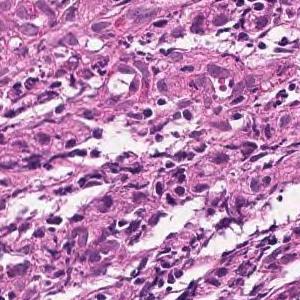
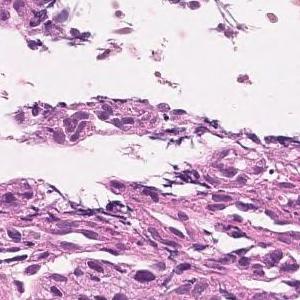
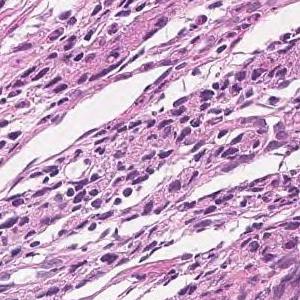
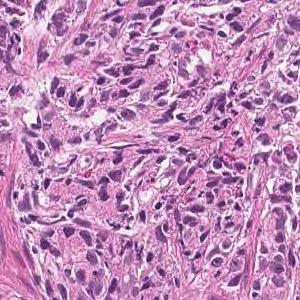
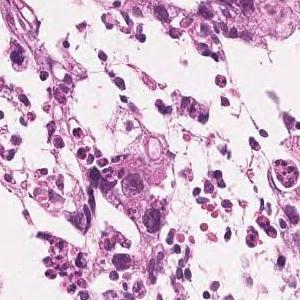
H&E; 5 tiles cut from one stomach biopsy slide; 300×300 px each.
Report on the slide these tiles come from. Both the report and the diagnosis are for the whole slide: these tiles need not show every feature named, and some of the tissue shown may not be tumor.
In the superficial epithelium, medium to small, irregular glandular ducts are formed, and in some parts, the glandular ducts are fused, and in other parts, small cord-like infiltrating tumor tissue is observed. Moderately to poorly differentiated adenocarcinoma.
